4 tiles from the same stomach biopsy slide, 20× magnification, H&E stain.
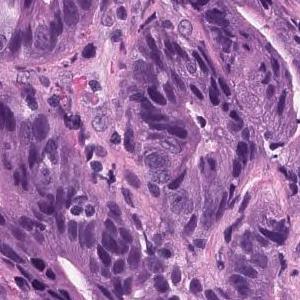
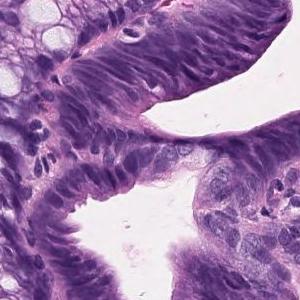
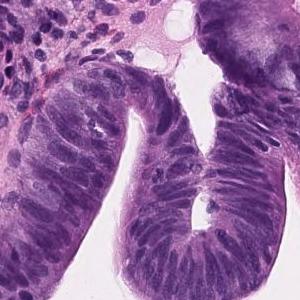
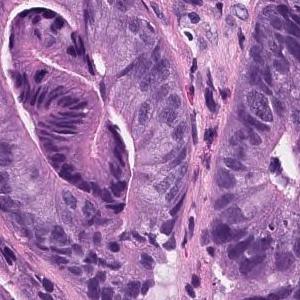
The pathologist's report on the biopsy slide these tiles were taken from. Both the report and the diagnosis are for the whole slide: these tiles need not show every feature named, and some of the tissue shown may not be tumor.
On the superficial epithelium, tumor tissue with densely growing medium to large, round tubules is observed. Tumor cells are highly columnar, with nuclei aligned basolaterally and polarized. Well differentiated tubular adenocarcinoma
